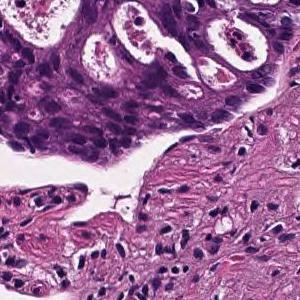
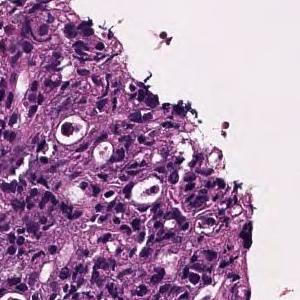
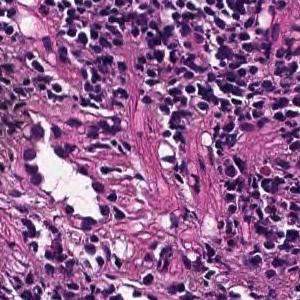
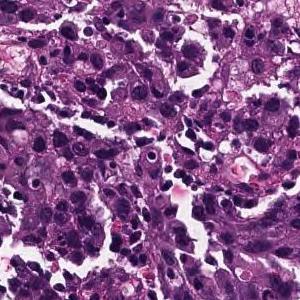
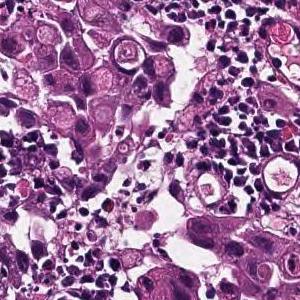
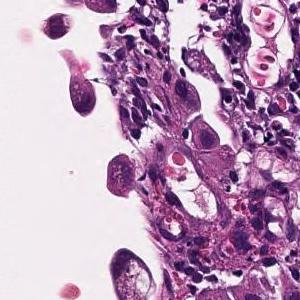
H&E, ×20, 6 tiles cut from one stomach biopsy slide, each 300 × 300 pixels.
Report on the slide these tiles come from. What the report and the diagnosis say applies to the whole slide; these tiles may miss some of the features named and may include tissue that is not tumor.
The superficial epithelium shows a large sheet-like shape, and some tumor tissue infiltrates with small irregular ducts. Poorly differentiated adenocarcinoma, solid-type
Subtype: Poorly differentiated adenocarcinoma, solid type. This name comes from the Japanese Classification of Gastric Carcinoma; the WHO 2019 classification calls it tubular adenocarcinoma, poorly differentiated.
